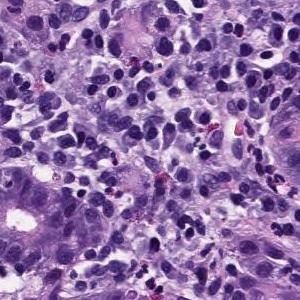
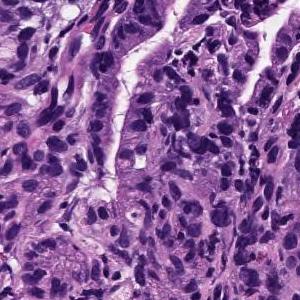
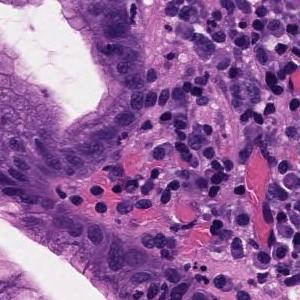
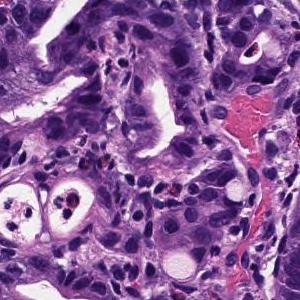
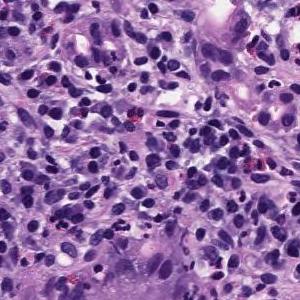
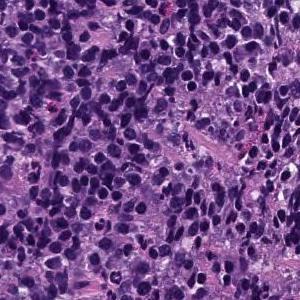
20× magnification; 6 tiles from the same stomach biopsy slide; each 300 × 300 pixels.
Pathology report for the slide these tiles were cut from. The report describes the whole slide, diagnosis included: not every finding it names need appear in these tiles, which may also show non-tumor tissue.
Medium to small, irregular glandular ducts are formed in the superficial epithelium, and in some cases, the glandular ducts are fused to show solid alveolar lesions and infiltrating tumor tissue is observed. Moderately to poorly differentiated adenocarcinoma.
